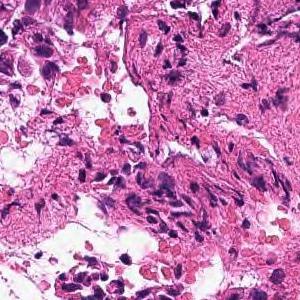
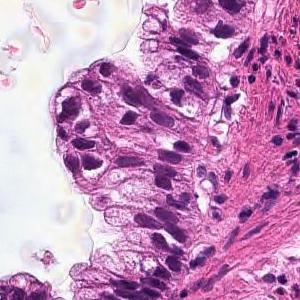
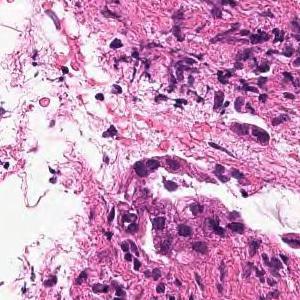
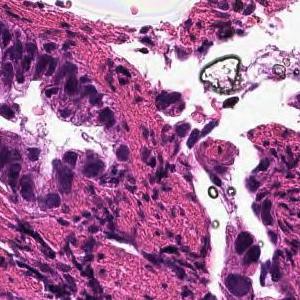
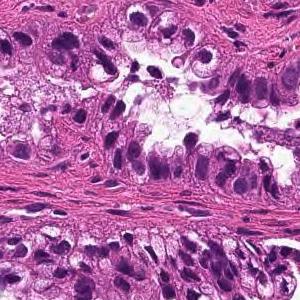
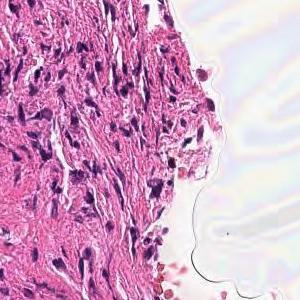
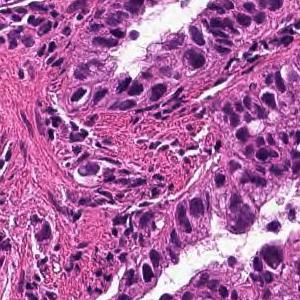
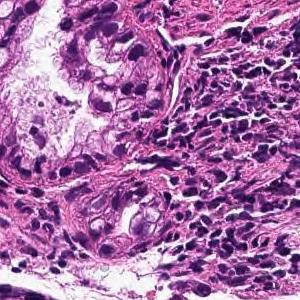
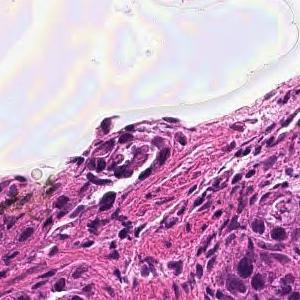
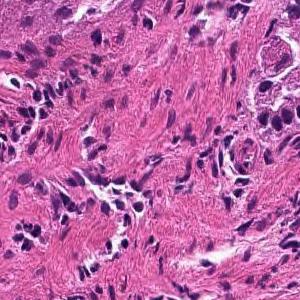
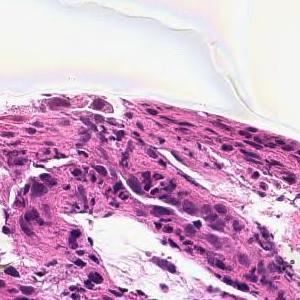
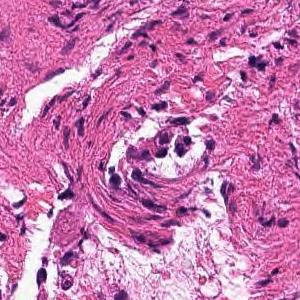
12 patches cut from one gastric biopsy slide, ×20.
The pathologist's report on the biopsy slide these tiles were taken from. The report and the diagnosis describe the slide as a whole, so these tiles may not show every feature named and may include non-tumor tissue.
From the superficial epithelium to the muscularis mucosae, tumor tissue infiltrating by forming medium-sized irregular gland ducts is observed. Well differentiated tubular adenocarcinoma
